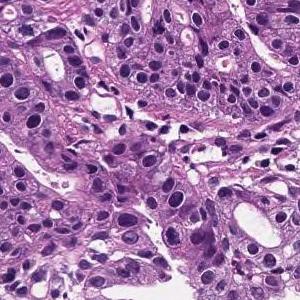
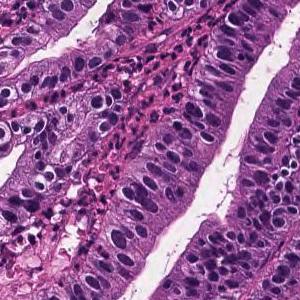
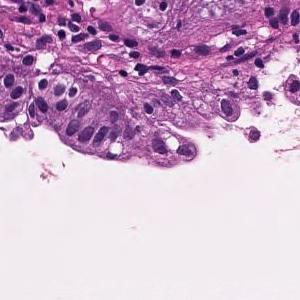
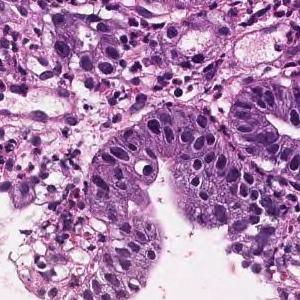
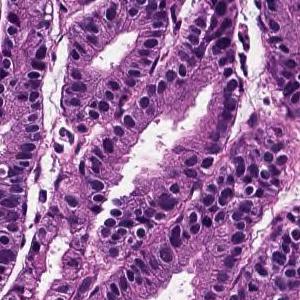
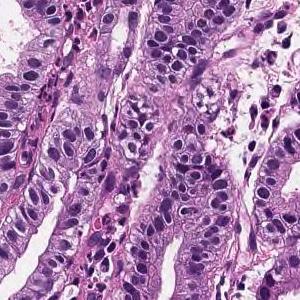
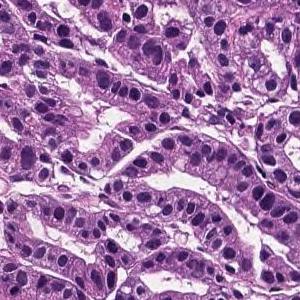
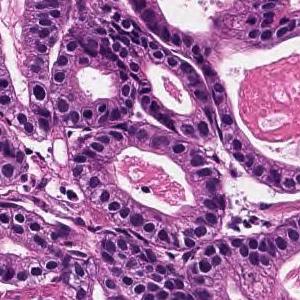
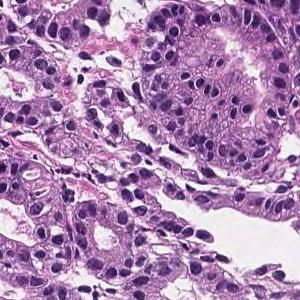
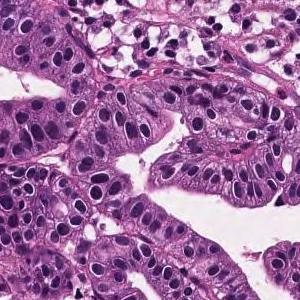
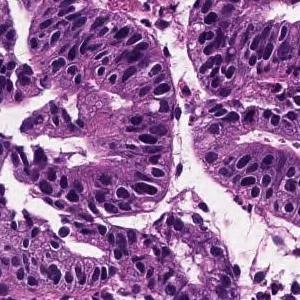
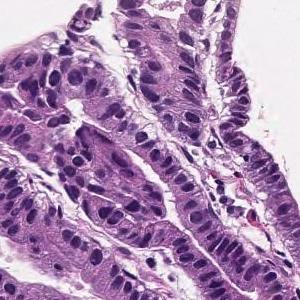
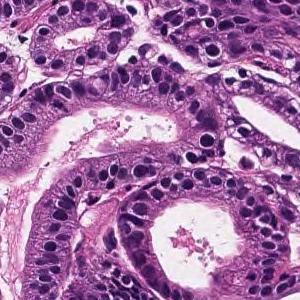
Hematoxylin and eosin stain, 20× magnification, 13 tiles from the same stomach biopsy slide, 300×300 px each.
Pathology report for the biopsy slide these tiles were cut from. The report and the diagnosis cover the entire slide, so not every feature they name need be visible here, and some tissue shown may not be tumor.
On the superficial epithelium, tumor tissue that infiltrates by forming medium-sized round or small irregular ducts is observed. Papillary adenocarcinoma
